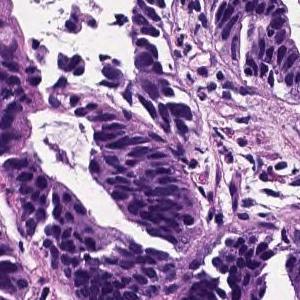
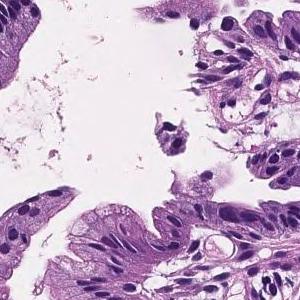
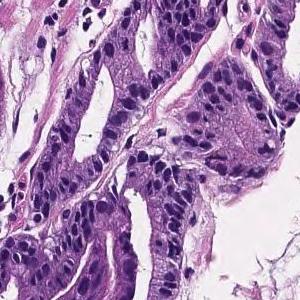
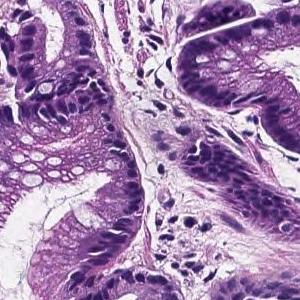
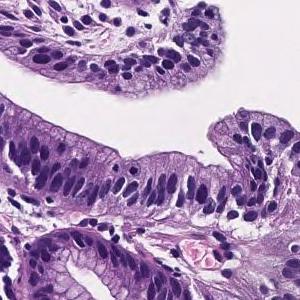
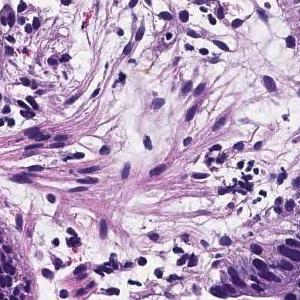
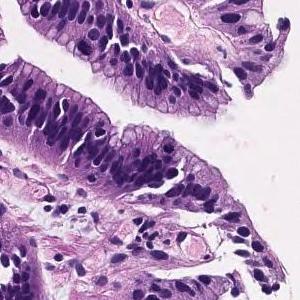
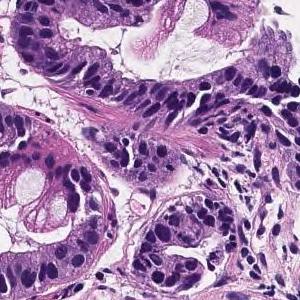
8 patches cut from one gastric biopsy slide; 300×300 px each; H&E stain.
Pathology report for the slide these tiles were cut from. The findings and the diagnosis refer to the entire slide; these tiles show only part of it, possibly with non-tumor tissue, and may not show every feature named.
Tumor cells are large, highly columnar, large club-shaped nuclei, and are associated with chromatin aggregation. Papillary adenocarcinoma.
